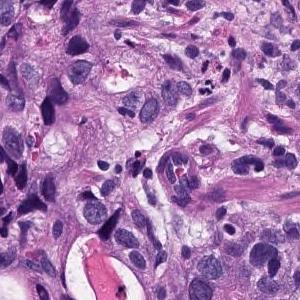
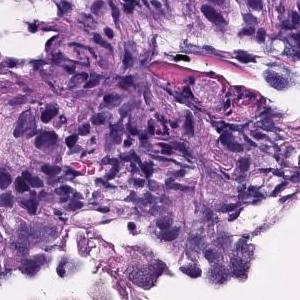
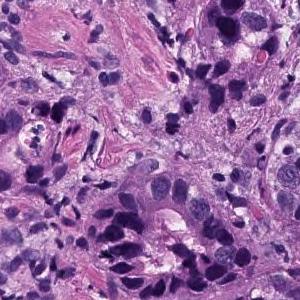
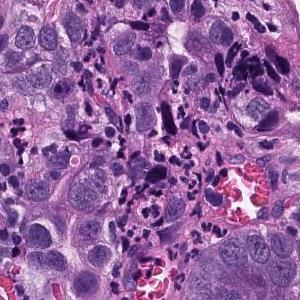
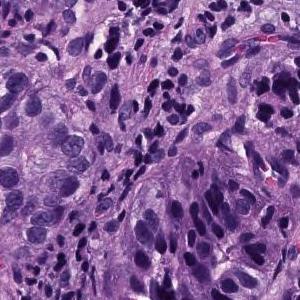
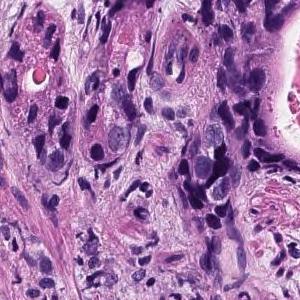
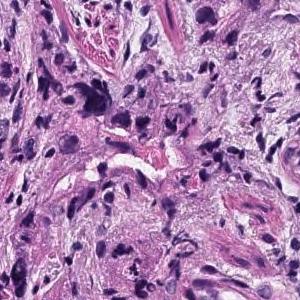
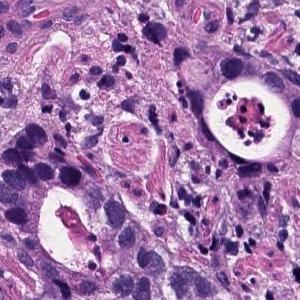
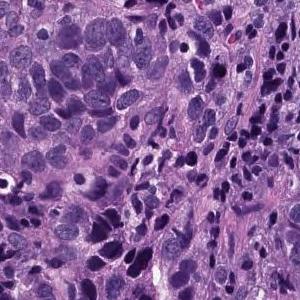
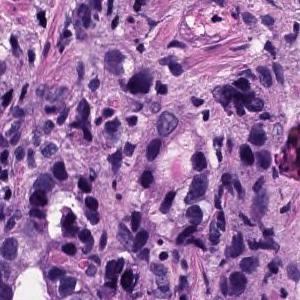
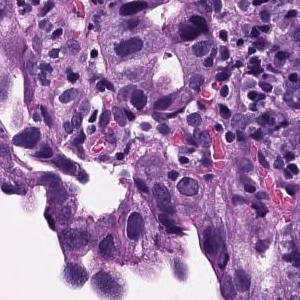
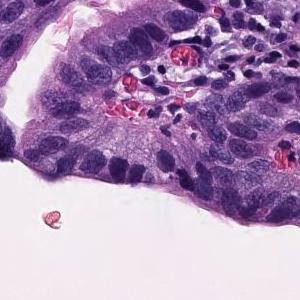
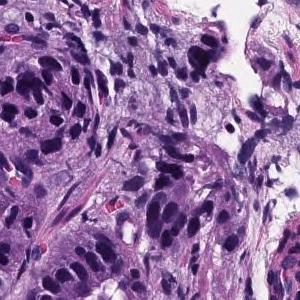
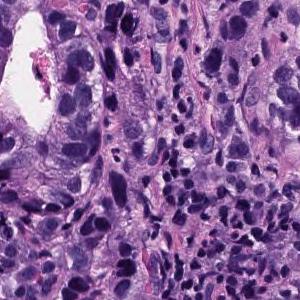
H&E; 14 tiles from the same stomach biopsy slide; each 300 × 300 pixels.
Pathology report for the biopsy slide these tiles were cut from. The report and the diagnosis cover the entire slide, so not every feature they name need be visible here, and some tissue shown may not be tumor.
In the epithelium, tumor tissue in which medium to small irregular gland ducts fuse with each other and infiltrate the submucosa. moderately differentiated tubular adenocarcinoma
